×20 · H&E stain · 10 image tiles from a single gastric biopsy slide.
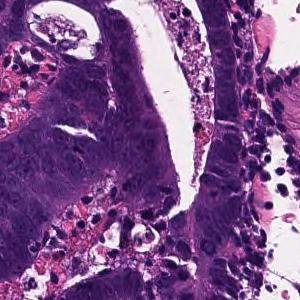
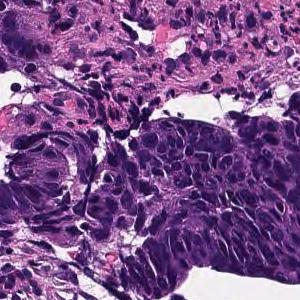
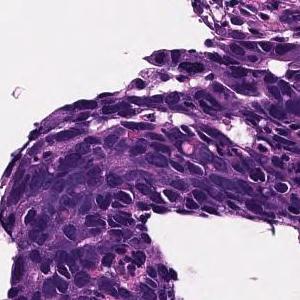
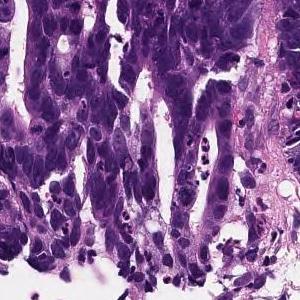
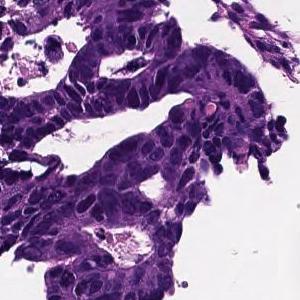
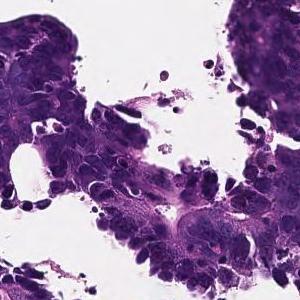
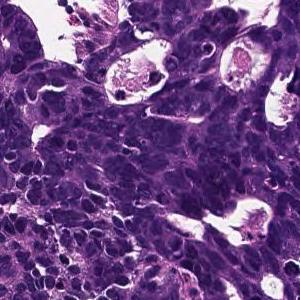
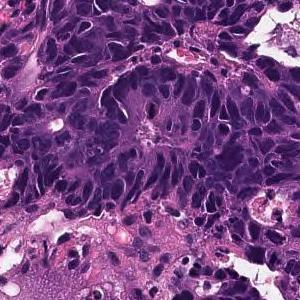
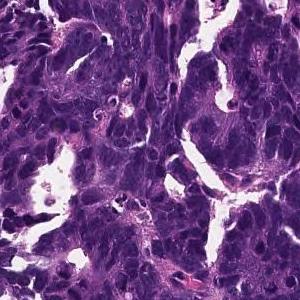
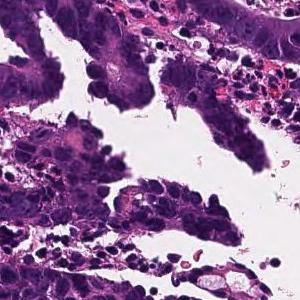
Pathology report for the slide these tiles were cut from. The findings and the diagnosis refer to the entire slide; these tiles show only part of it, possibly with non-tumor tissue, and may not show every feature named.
In the superficial epithelium, tumor tissue that invades by forming medium-sized to small, irregular ducts is observed. moderately differentiated tubular adenocarcinoma.
